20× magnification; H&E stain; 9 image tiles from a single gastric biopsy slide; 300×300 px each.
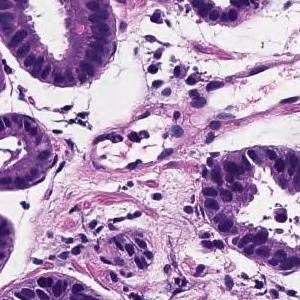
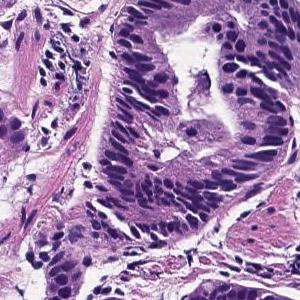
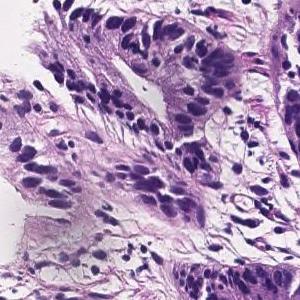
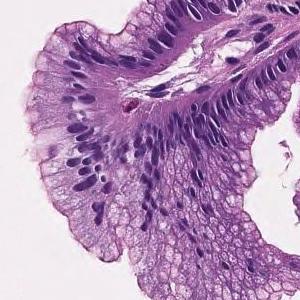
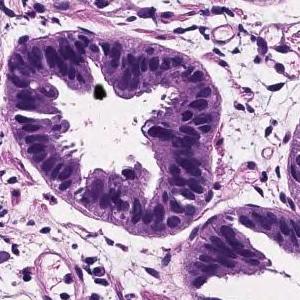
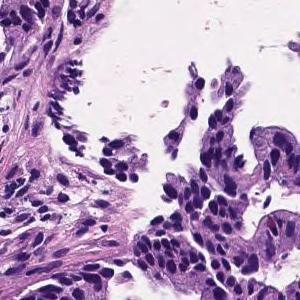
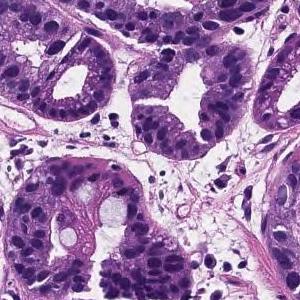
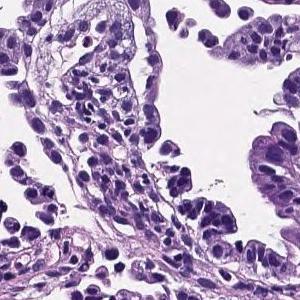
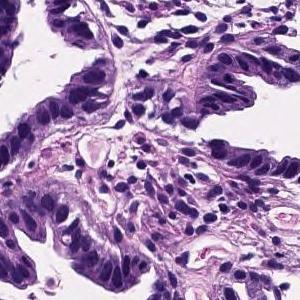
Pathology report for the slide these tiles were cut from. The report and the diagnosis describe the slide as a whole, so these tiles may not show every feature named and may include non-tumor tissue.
Tumor cells are large, highly columnar, large club-shaped nuclei, and are associated with chromatin aggregation. Papillary adenocarcinoma.
